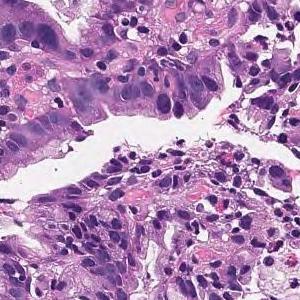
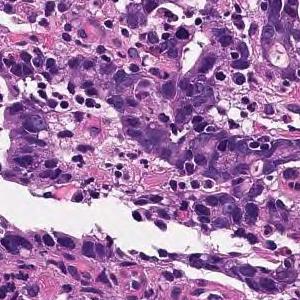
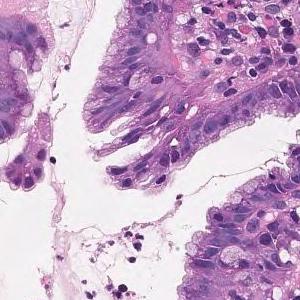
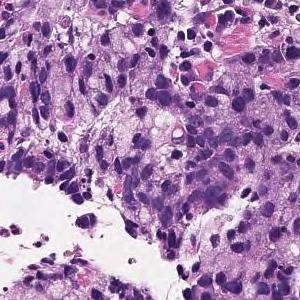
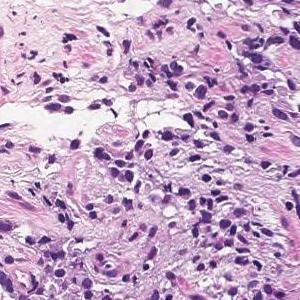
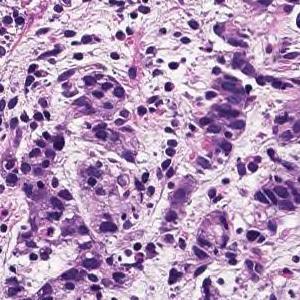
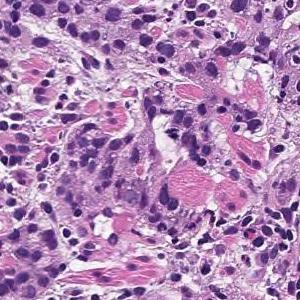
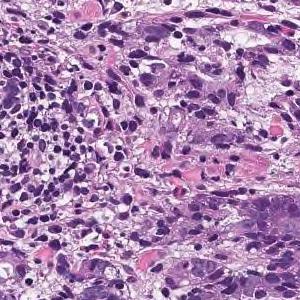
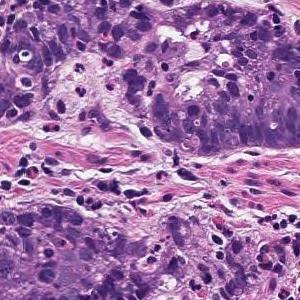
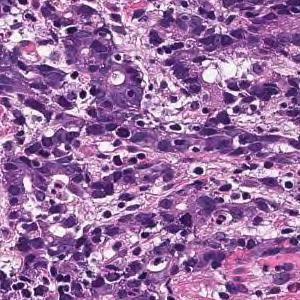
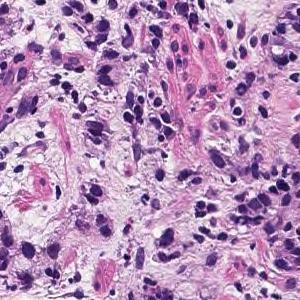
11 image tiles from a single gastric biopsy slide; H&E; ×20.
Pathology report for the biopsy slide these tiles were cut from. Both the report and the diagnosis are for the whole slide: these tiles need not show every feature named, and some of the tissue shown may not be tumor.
Tumor tissue consisting of cord-like or small, irregular glandular ducts fused and infiltrated is observed in the superficial epithelium. Poorly differentiated adenocarcinoma, non-solid type
The non-solid type named here is a Japanese Classification of Gastric Carcinoma category.
